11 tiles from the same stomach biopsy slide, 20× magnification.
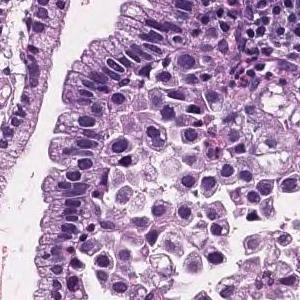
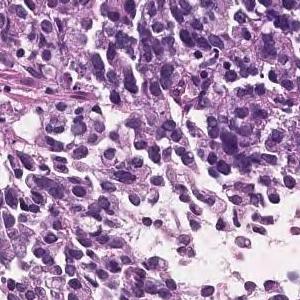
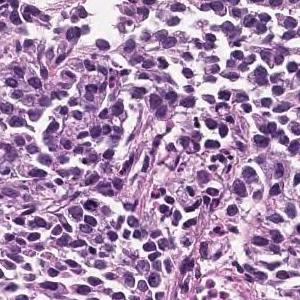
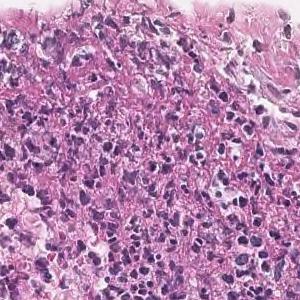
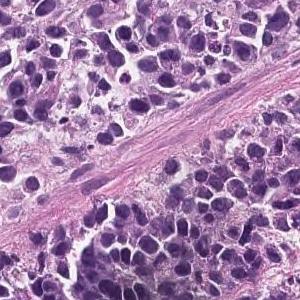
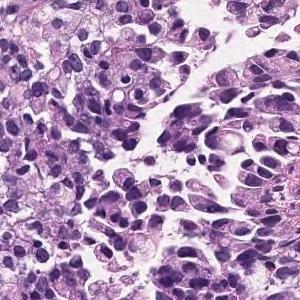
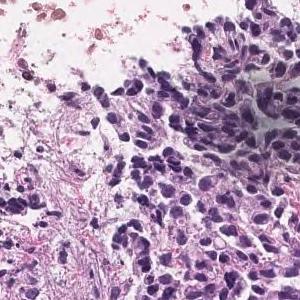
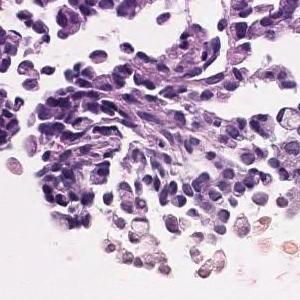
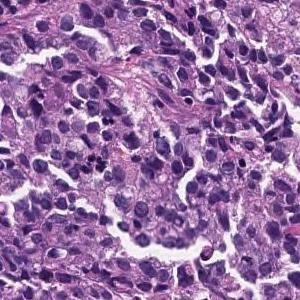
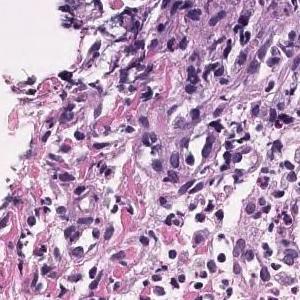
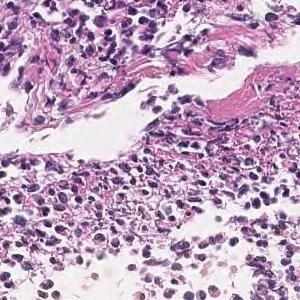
Pathology report for the slide these tiles were cut from. What the report and the diagnosis say applies to the whole slide; these tiles may miss some of the features named and may include tissue that is not tumor.
The superficial epithelium shows a large sheet-like shape, and some tumor tissue infiltrates with small irregular ducts. Poorly differentiated adenocarcinoma, solid-type
Histologic type: Poorly differentiated adenocarcinoma, solid type, a category of the Japanese Classification of Gastric Carcinoma; in the WHO 2019 classification it is tubular adenocarcinoma, poorly differentiated.
